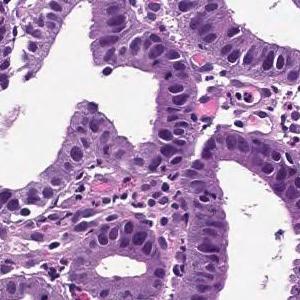
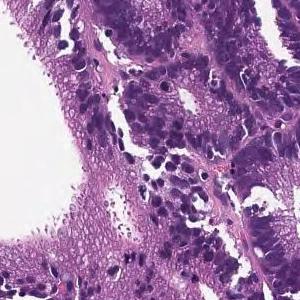
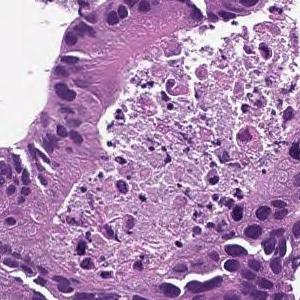
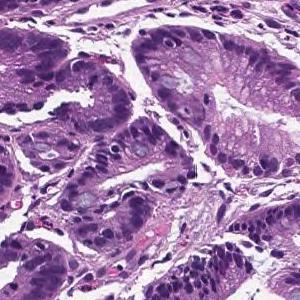
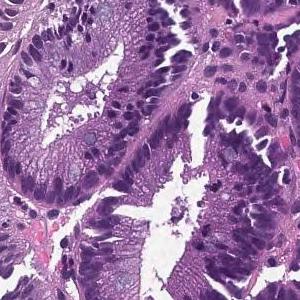
5 tiles from the same stomach biopsy slide; each 300 × 300 pixels; ×20; H&E.
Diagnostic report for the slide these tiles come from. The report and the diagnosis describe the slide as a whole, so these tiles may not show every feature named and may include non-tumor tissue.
From the superficial epithelium to the muscularis mucosae, tumor tissue consisting of medium-sized and irregular glandular ducts infiltrating is observed. Well differentiated tubular adenocarcinoma
